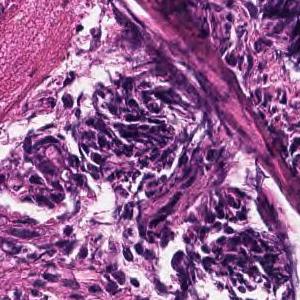
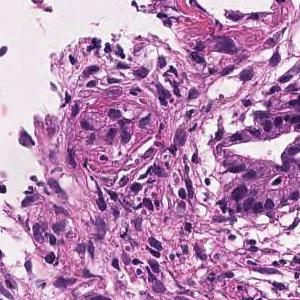
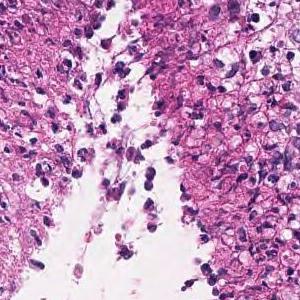
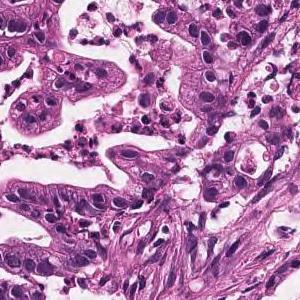
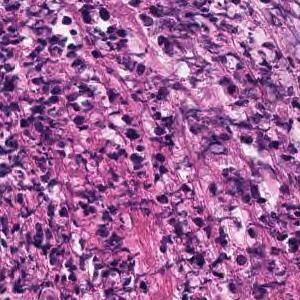
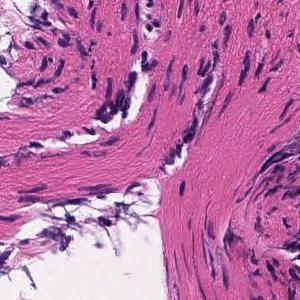
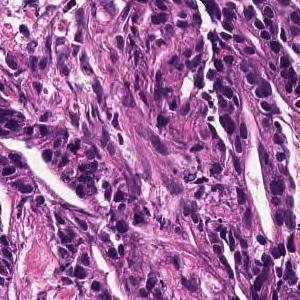
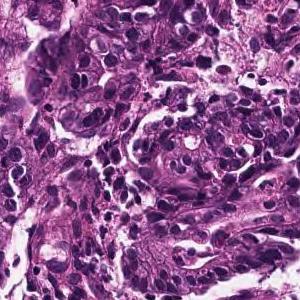
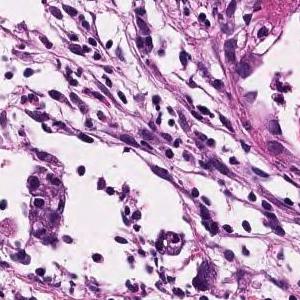
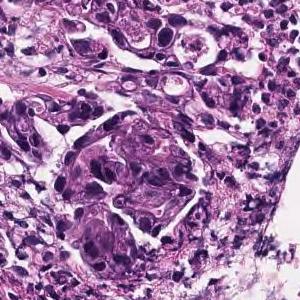
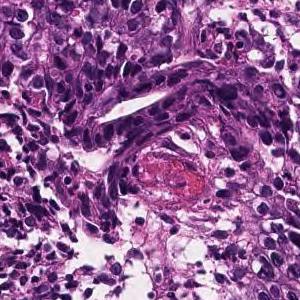
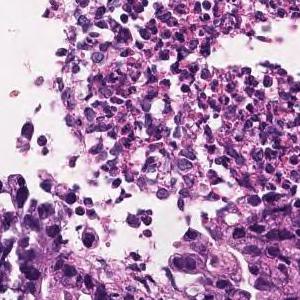
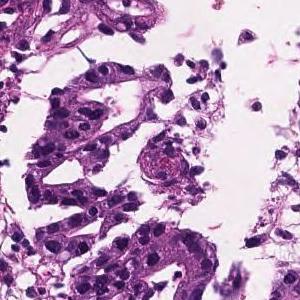
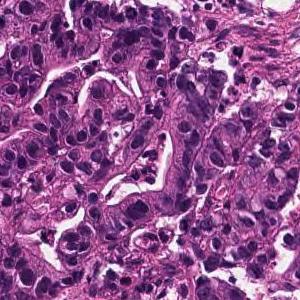
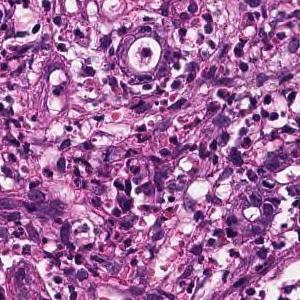
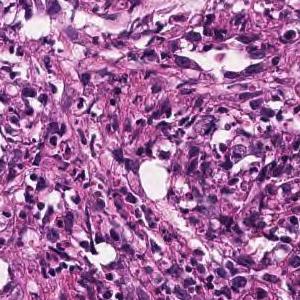
16 image tiles from a single gastric biopsy slide · 300×300 px each · hematoxylin and eosin stain · ×20.
Pathology report for the slide these tiles were cut from. The report and the diagnosis cover the entire slide, so not every feature they name need be visible here, and some tissue shown may not be tumor.
In the superficial epithelium, medium to small, irregular gland ducts are formed, and in some cases, the gland ducts are fused to show solid alveolar lesions and infiltrating tumor tissue is observed. Moderately to poorly differentiated adenocarcinoma.
